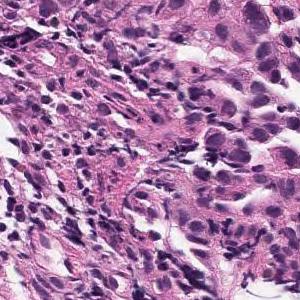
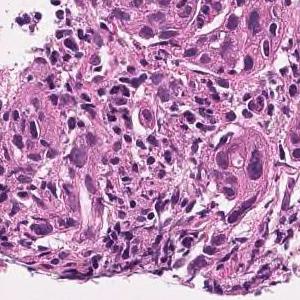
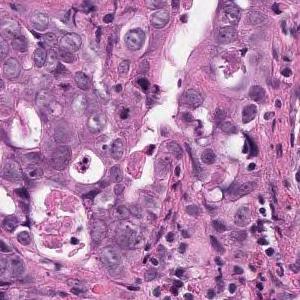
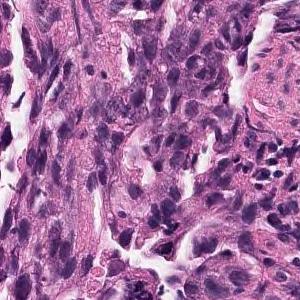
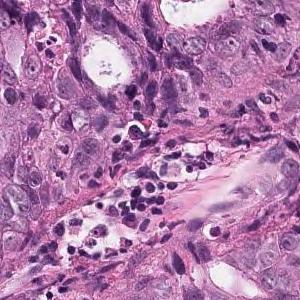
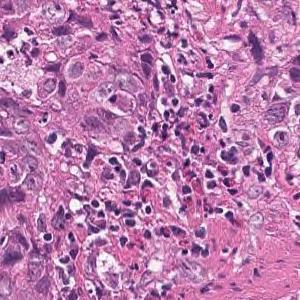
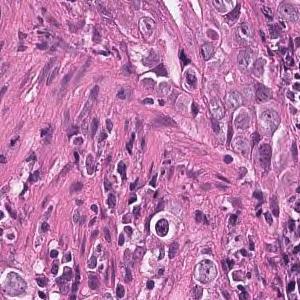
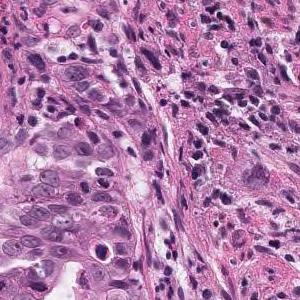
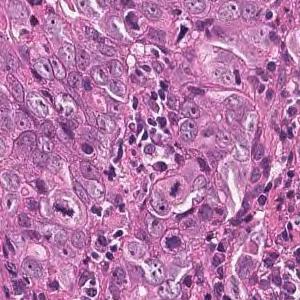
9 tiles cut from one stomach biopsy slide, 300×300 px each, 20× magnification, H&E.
Diagnostic report for the slide these tiles come from. The report and the diagnosis cover the entire slide, so not every feature they name need be visible here, and some tissue shown may not be tumor.
Tumor tissue that infiltrates and proliferates with alveolar or cord-like structures with small glandular cavities in the superficial to submucosal layers is observed. moderately differentiated tubular adenocarcinoma
